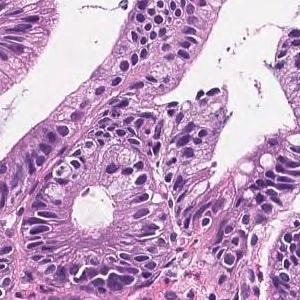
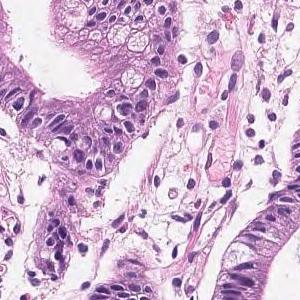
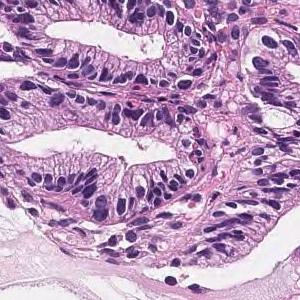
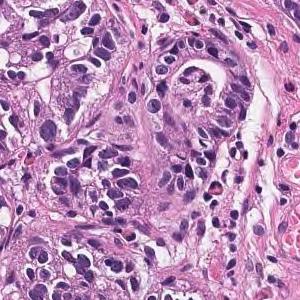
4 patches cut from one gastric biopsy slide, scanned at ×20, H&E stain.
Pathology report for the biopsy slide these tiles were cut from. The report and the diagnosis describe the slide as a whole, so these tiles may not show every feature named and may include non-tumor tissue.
In the superficial epithelium, tumor tissue that invades by forming medium-sized to small, irregular ducts is observed. Well differentiated tubular adenocarcinoma.
